4 tiles from the same stomach biopsy slide; H&E stain.
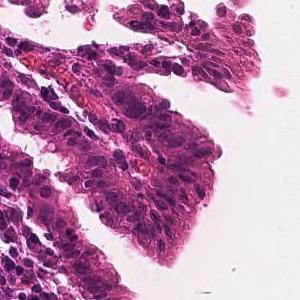
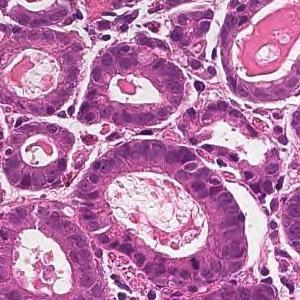
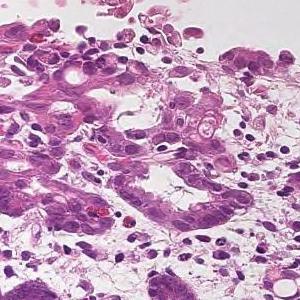
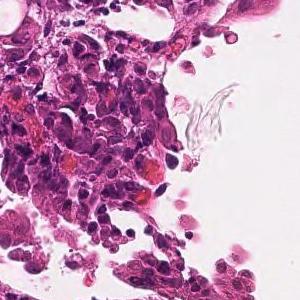
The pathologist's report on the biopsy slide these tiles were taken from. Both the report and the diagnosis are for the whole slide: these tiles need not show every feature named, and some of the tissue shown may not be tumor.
From the superficial epithelium to the muscularis mucosae, tumor tissue consisting of medium-sized and irregular glandular ducts infiltrating is observed. Well differentiated tubular adenocarcinoma
